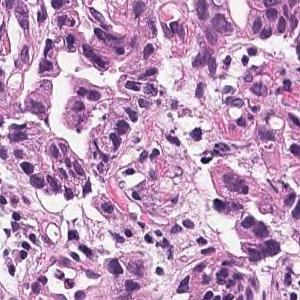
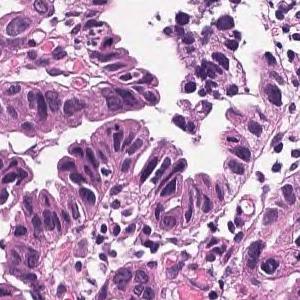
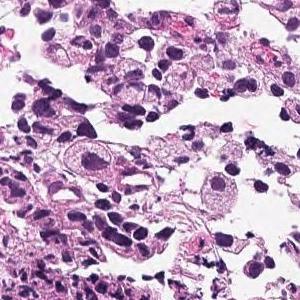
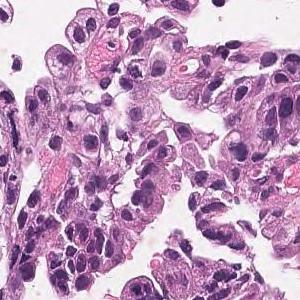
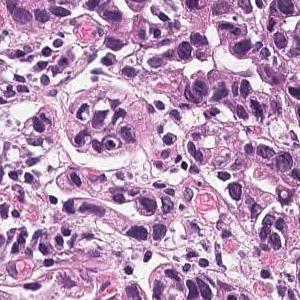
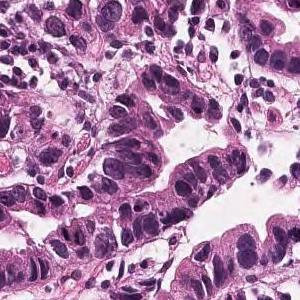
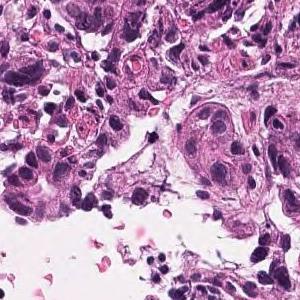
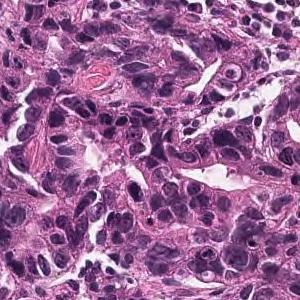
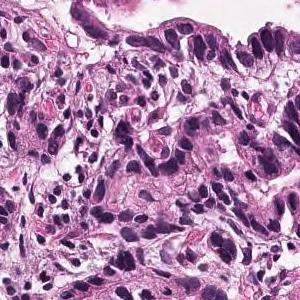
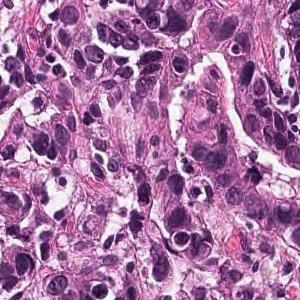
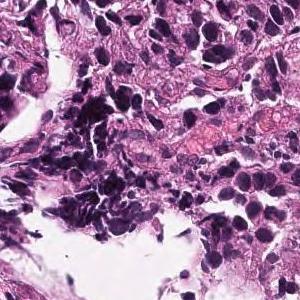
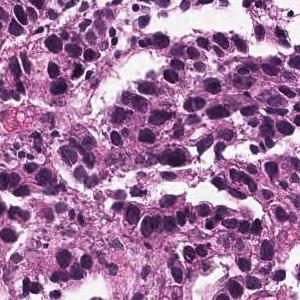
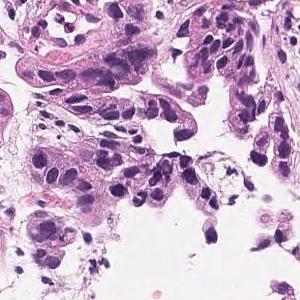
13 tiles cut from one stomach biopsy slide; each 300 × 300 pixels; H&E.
Report on the slide these tiles come from. The report and the diagnosis cover the entire slide, so not every feature they name need be visible here, and some tissue shown may not be tumor.
Medium to small, irregular glandular ducts are formed in the superficial epithelium, and in some cases, the glandular ducts are fused to show solid alveolar lesions and infiltrating tumor tissue is observed. Moderately to poorly differentiated adenocarcinoma.
